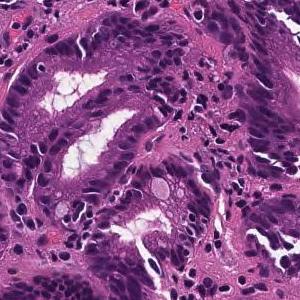
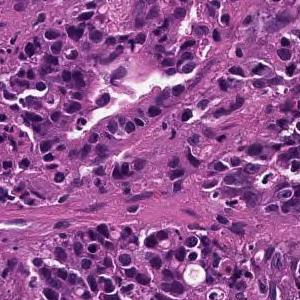
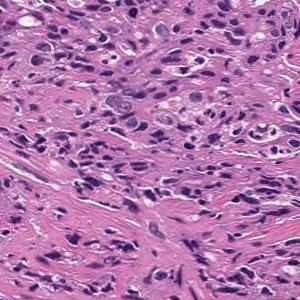
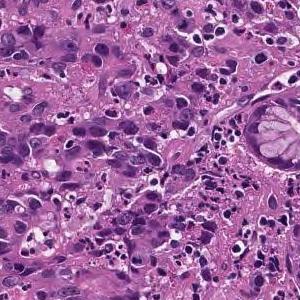
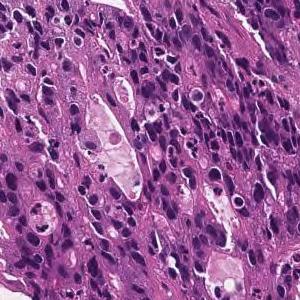
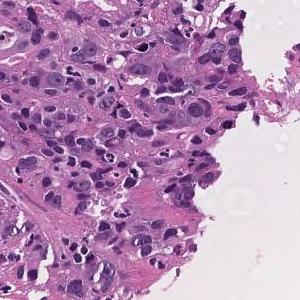
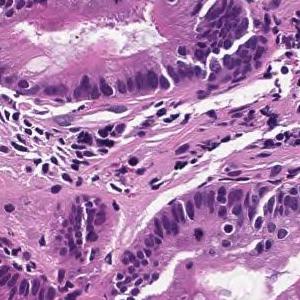
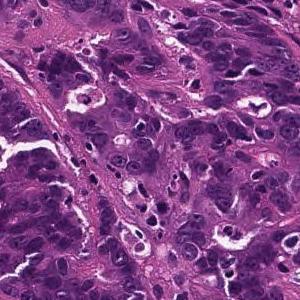
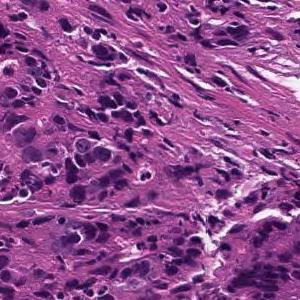
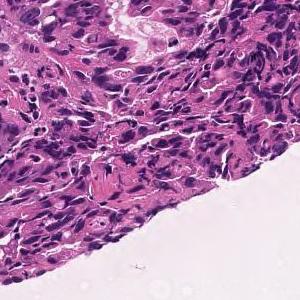
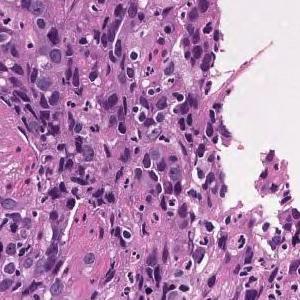
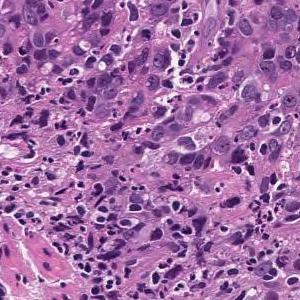
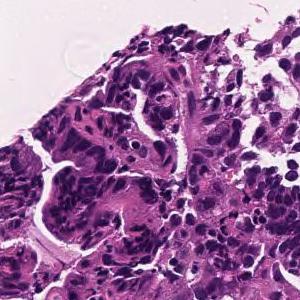
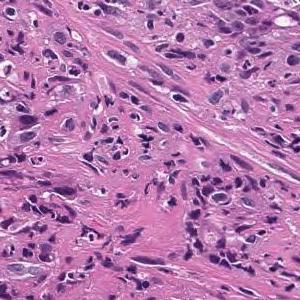
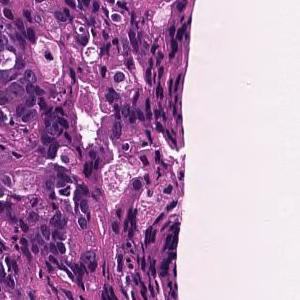
Hematoxylin and eosin stain, scanned at ×20, 15 image tiles from a single gastric biopsy slide.
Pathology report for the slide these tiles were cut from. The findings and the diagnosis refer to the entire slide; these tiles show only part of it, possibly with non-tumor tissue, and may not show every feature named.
In the superficial epithelium, tumor tissue that invades by forming medium-sized to small, irregular ducts is observed. moderately differentiated tubular adenocarcinoma.
